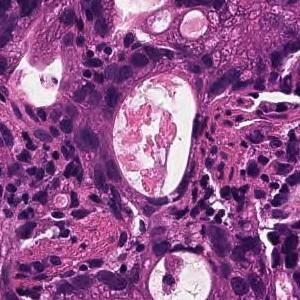
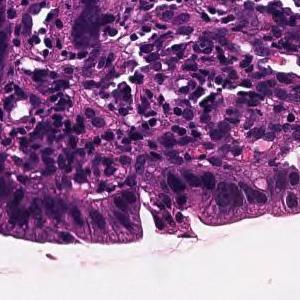
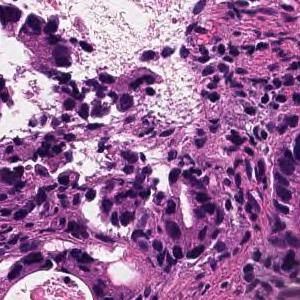
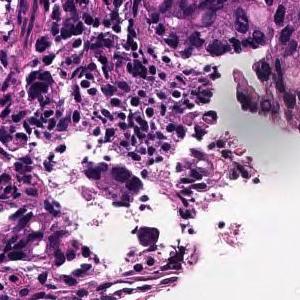
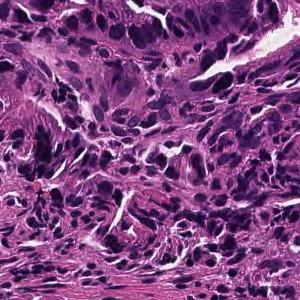
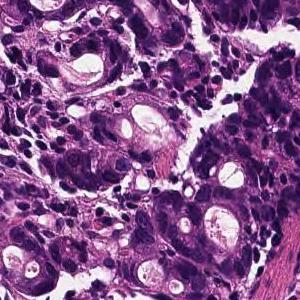
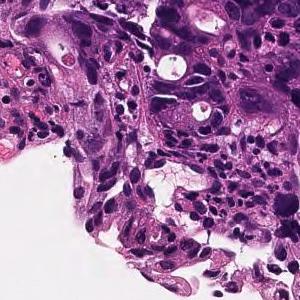
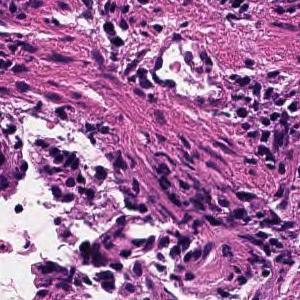
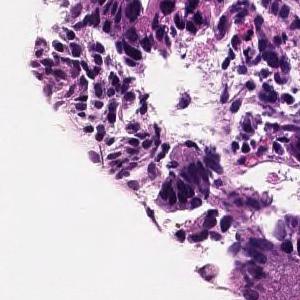
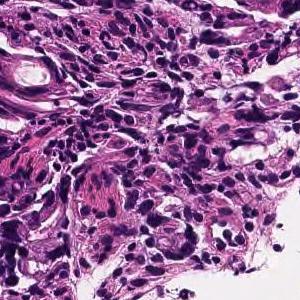
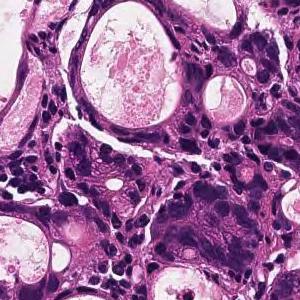
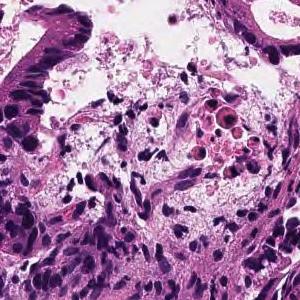
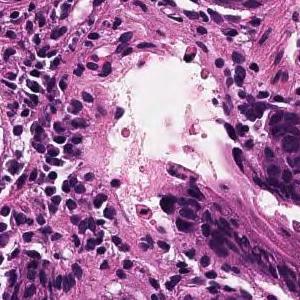
13 tiles cut from one stomach biopsy slide; each 300 × 300 pixels; H&E.
Pathology report for the biopsy slide these tiles were cut from. The report describes the whole slide, diagnosis included: not every finding it names need appear in these tiles, which may also show non-tumor tissue.
In the superficial epithelium, tumor tissue that invades by forming medium-sized to small, irregular ducts is observed. moderately differentiated tubular adenocarcinoma.
